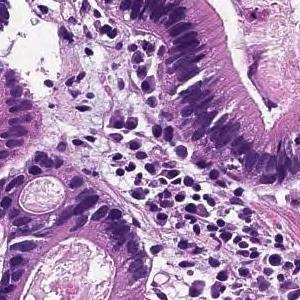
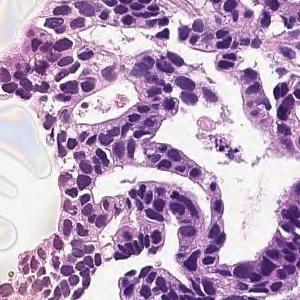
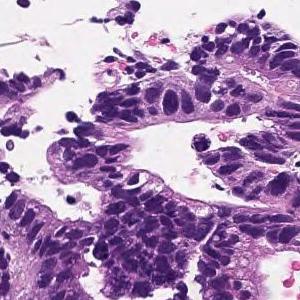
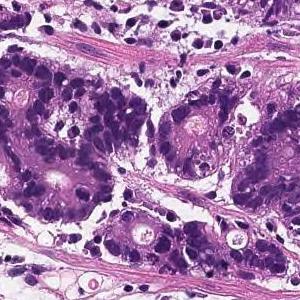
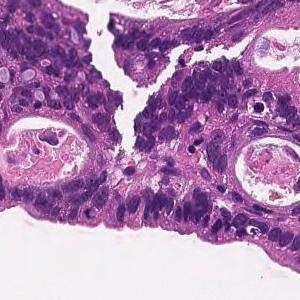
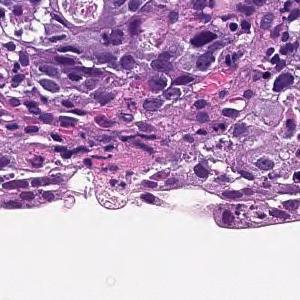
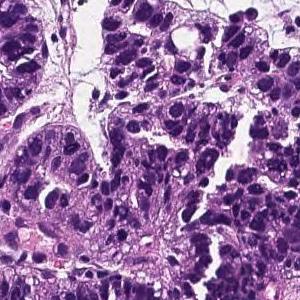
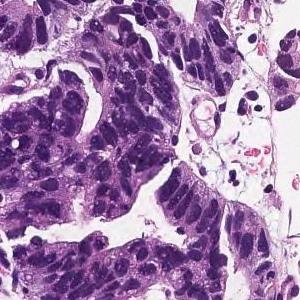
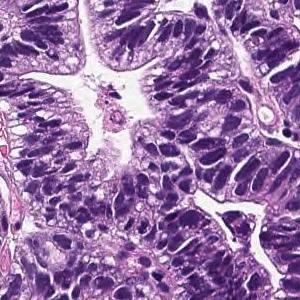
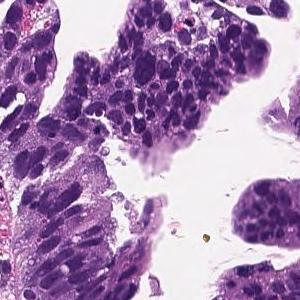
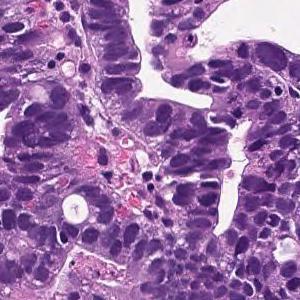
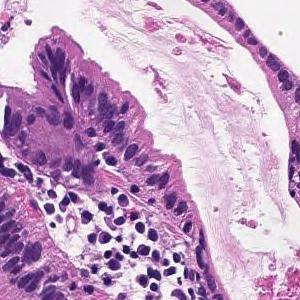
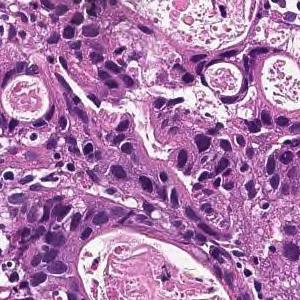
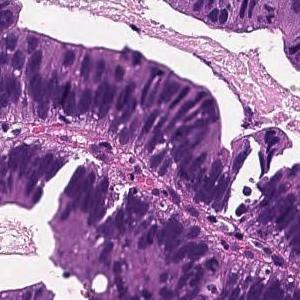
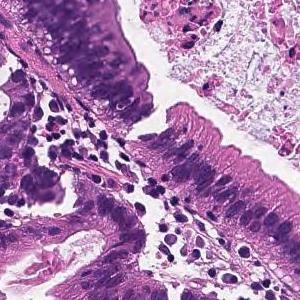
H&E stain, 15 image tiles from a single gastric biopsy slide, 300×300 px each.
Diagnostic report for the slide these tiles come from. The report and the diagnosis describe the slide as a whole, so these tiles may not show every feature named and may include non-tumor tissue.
In the superficial epithelium, tumor tissue that invades by forming medium-sized to small, irregular ducts is observed. moderately differentiated tubular adenocarcinoma.
